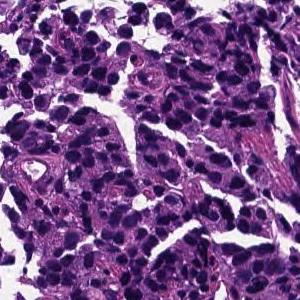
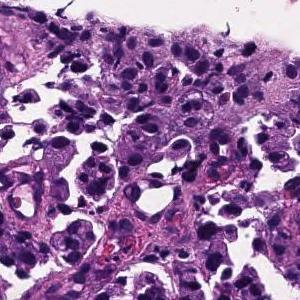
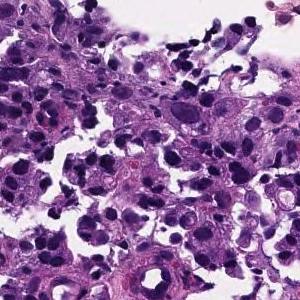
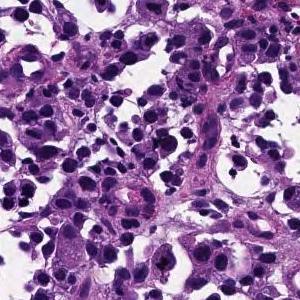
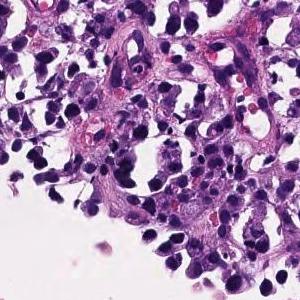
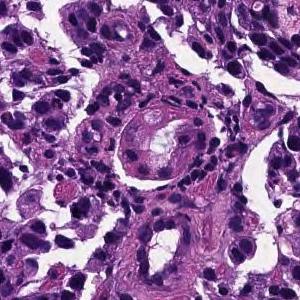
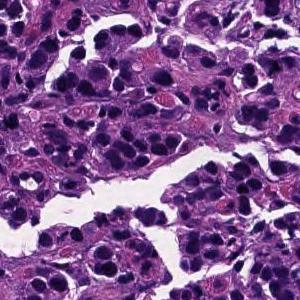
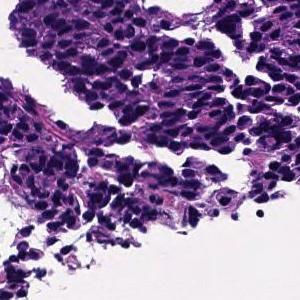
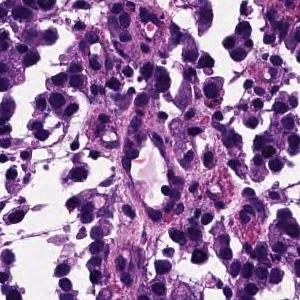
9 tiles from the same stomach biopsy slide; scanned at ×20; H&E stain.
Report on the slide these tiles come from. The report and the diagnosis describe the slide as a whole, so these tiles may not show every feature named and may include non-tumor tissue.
The superficial epithelium shows a large alveolar shape and infiltrates tumor tissue. Poorly differentiated adenocarcinoma, solid-type
Classified as poorly differentiated adenocarcinoma, solid type, a category of the Japanese Classification of Gastric Carcinoma; in the WHO 2019 classification it is tubular adenocarcinoma, poorly differentiated.
